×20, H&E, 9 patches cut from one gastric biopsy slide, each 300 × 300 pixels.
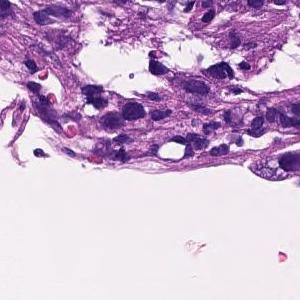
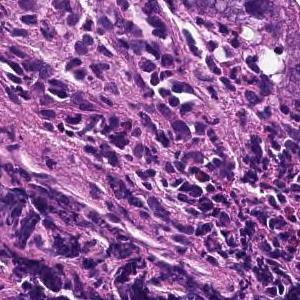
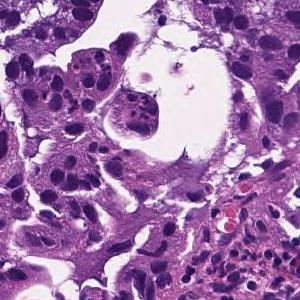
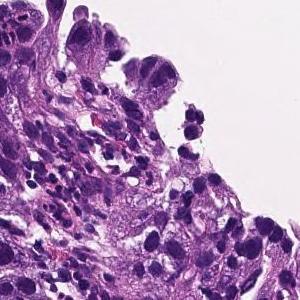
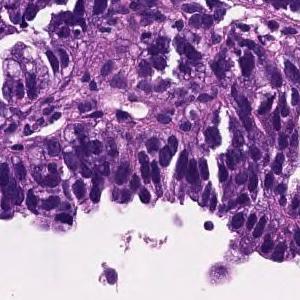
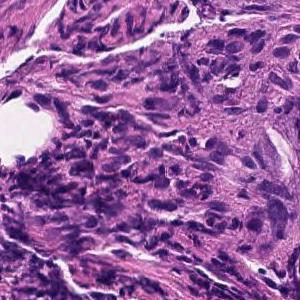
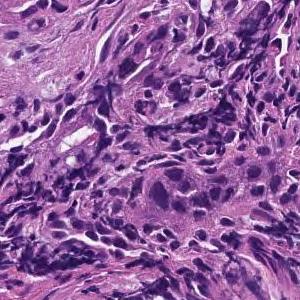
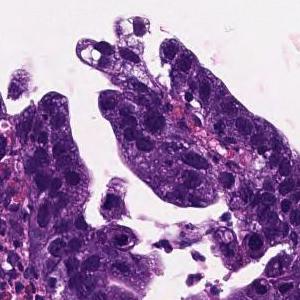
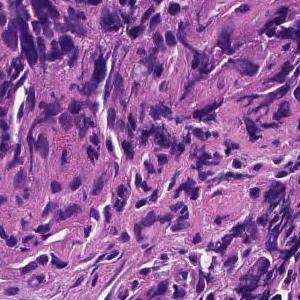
Report on the slide these tiles come from. Both the report and the diagnosis are for the whole slide: these tiles need not show every feature named, and some of the tissue shown may not be tumor.
Tumor tissue consisting of large papillary structures is found in the superficial epithelium. Papillary adenocarcinoma.
